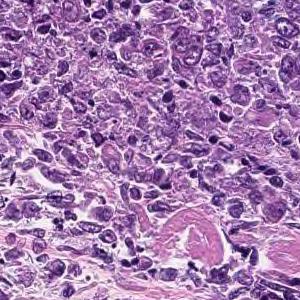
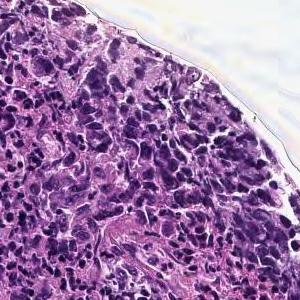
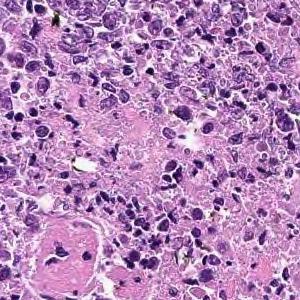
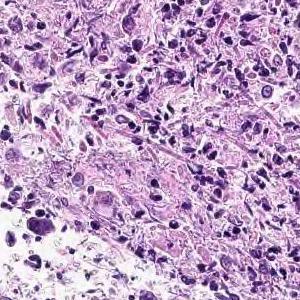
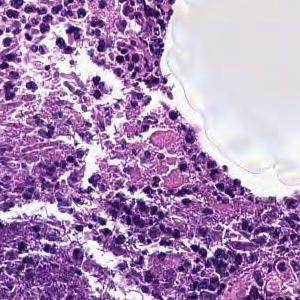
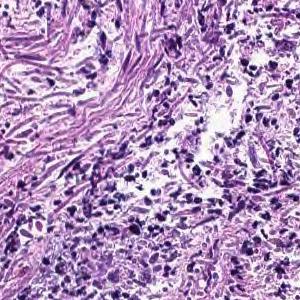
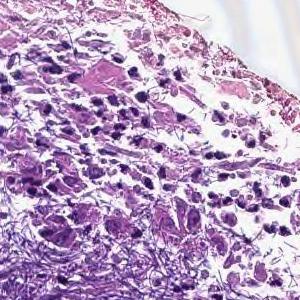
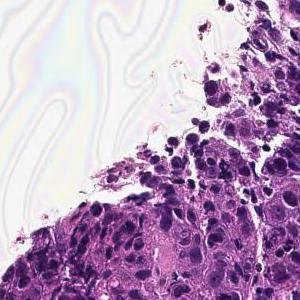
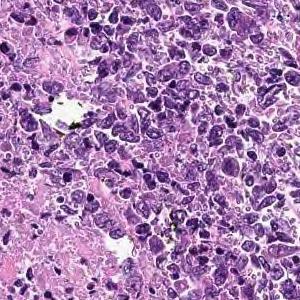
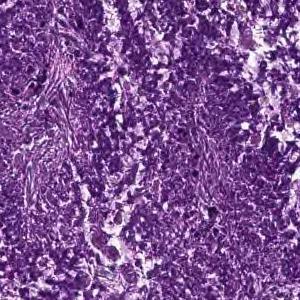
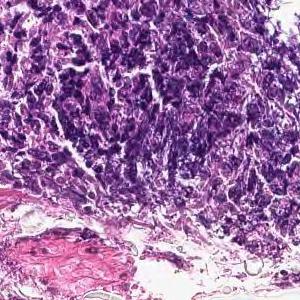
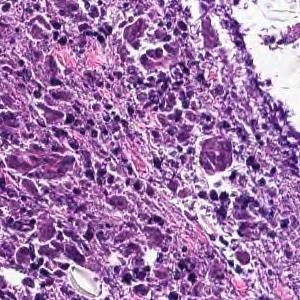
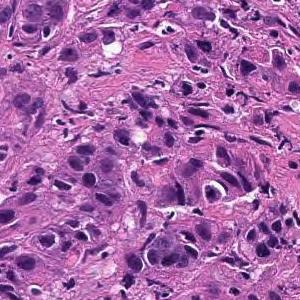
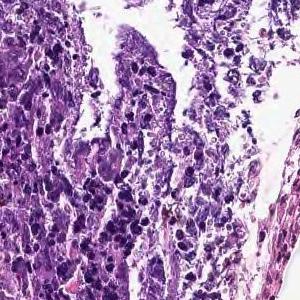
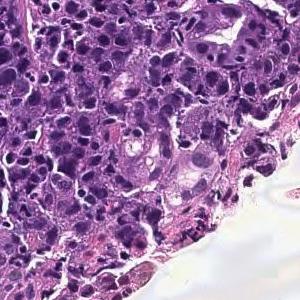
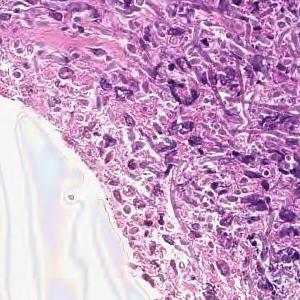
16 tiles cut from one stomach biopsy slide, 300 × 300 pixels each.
Pathology report for the slide these tiles were cut from. The findings and the diagnosis refer to the entire slide; these tiles show only part of it, possibly with non-tumor tissue, and may not show every feature named.
Cancers with polygonal nuclei do not show glandular formation and are densely, in part, cord-like and proliferate. Poorly differentiated adenocarcinoma
Tumor subtype: poorly differentiated adenocarcinoma, non-solid type.
"Non-solid type" is a category of the Japanese Classification of Gastric Carcinoma.
